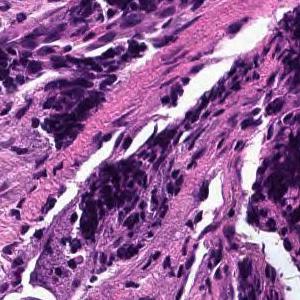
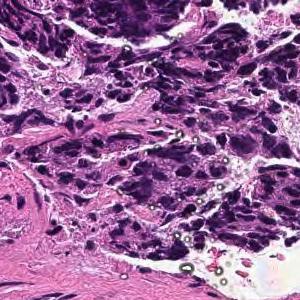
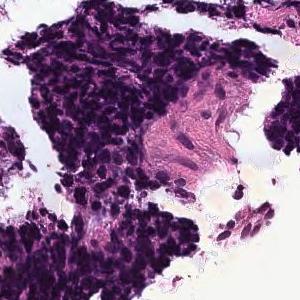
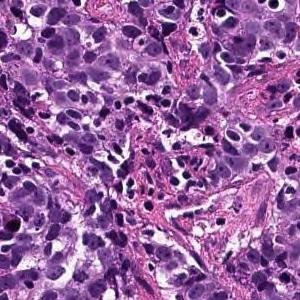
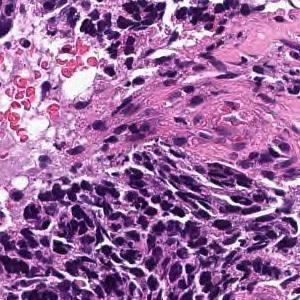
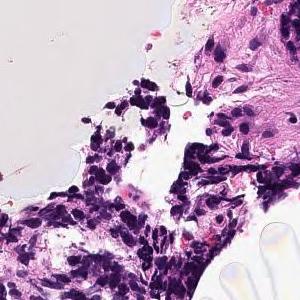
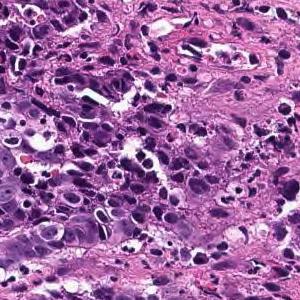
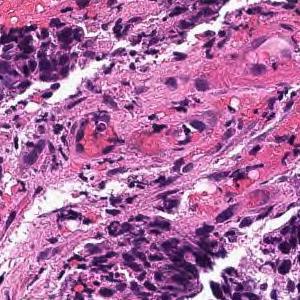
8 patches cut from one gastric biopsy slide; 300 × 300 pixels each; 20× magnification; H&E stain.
Diagnostic report for the slide these tiles come from. What the report and the diagnosis say applies to the whole slide; these tiles may miss some of the features named and may include tissue that is not tumor.
The superficial epithelium shows a large sheet or alveolar shape, and tumor tissue infiltrating without irregular ducts is observed. Poorly differentiated adenocarcinoma, solid-type
Classified as poorly differentiated adenocarcinoma, solid type, a category of the Japanese Classification of Gastric Carcinoma; in the WHO 2019 classification it is tubular adenocarcinoma, poorly differentiated.
